6 tiles cut from one stomach biopsy slide, hematoxylin and eosin stain, 20× magnification.
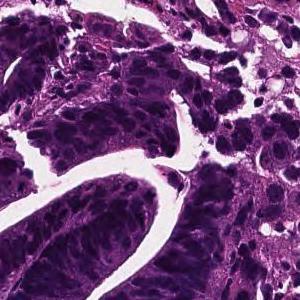
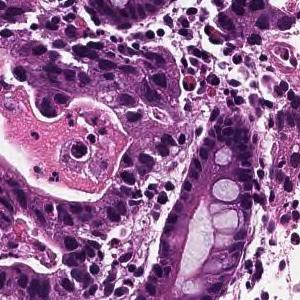
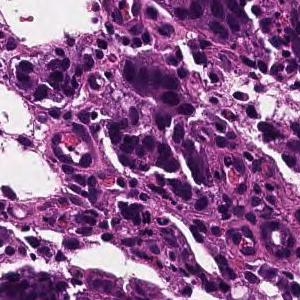
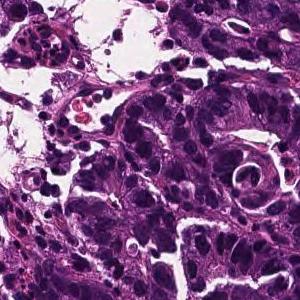
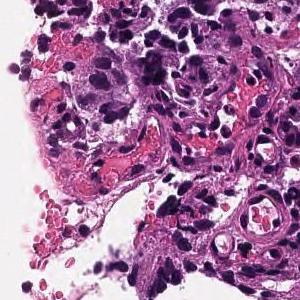
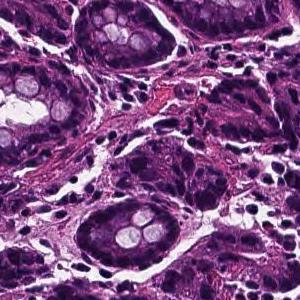
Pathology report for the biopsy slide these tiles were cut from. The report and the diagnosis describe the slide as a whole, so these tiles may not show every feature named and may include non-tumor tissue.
In the superficial epithelium, tumor tissue that invades by forming medium-sized to small, irregular ducts is observed. moderately differentiated tubular adenocarcinoma.
